6 tiles from the same stomach biopsy slide; each 300 × 300 pixels.
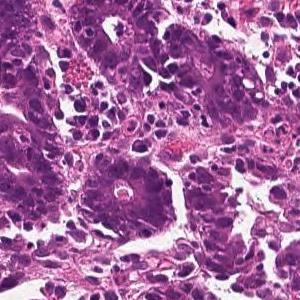
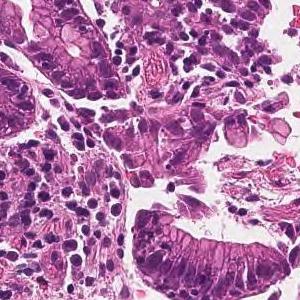
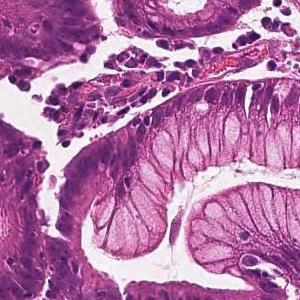
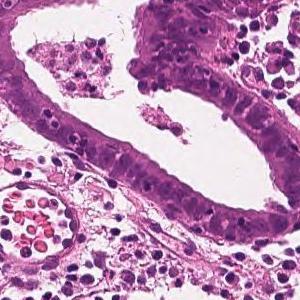
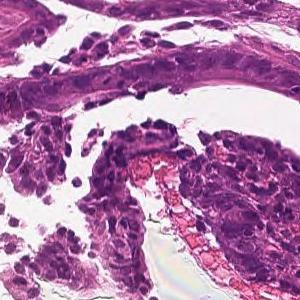
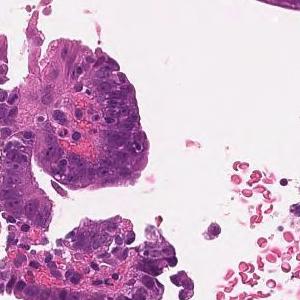
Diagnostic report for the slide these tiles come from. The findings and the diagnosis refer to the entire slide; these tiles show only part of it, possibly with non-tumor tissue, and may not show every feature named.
On the superficial epithelium, tumor tissue is found in which medium-sized irregular gland ducts fuse with each other and infiltrate. moderately differentiated tubular adenocarcinoma
